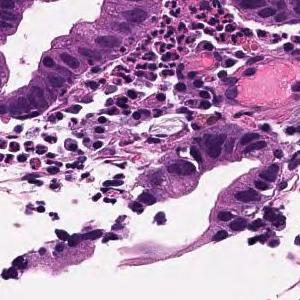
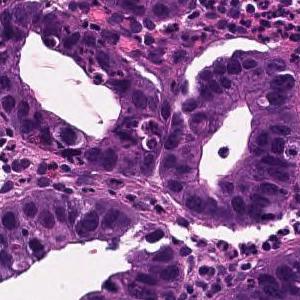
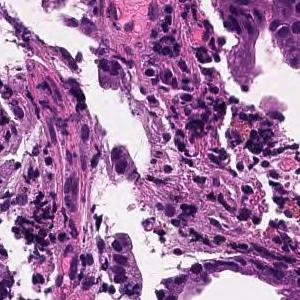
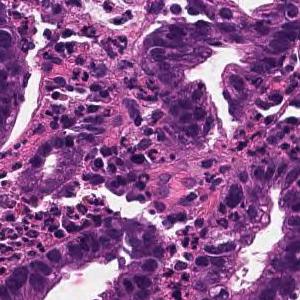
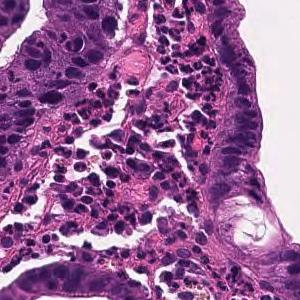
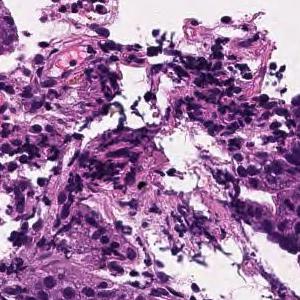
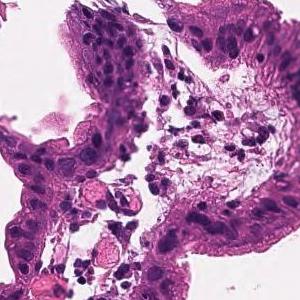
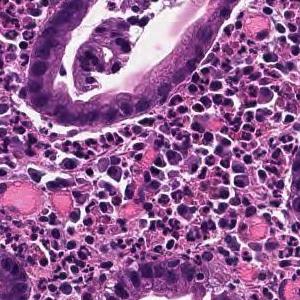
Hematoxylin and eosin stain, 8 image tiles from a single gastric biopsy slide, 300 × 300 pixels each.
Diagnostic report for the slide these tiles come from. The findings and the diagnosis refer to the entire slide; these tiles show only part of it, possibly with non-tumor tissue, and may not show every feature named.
From the superficial epithelium to the muscularis mucosae, tumor tissue consisting of medium-sized and irregular glandular ducts infiltrating is observed. Well differentiated tubular adenocarcinoma
